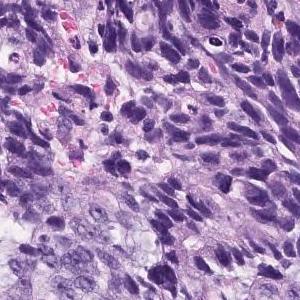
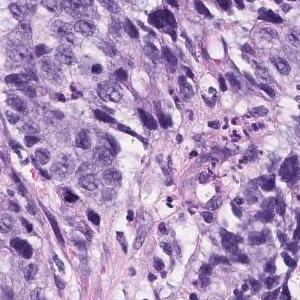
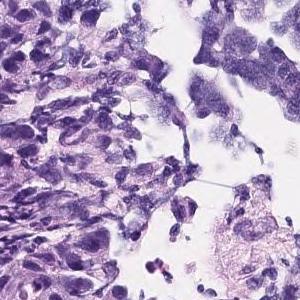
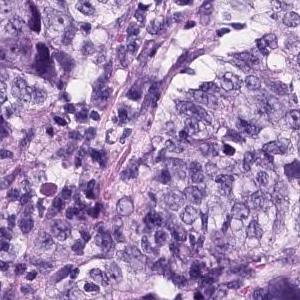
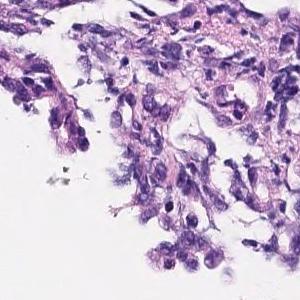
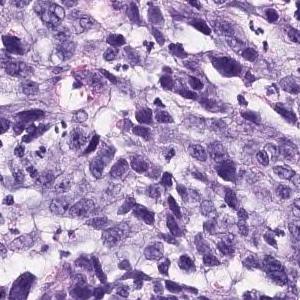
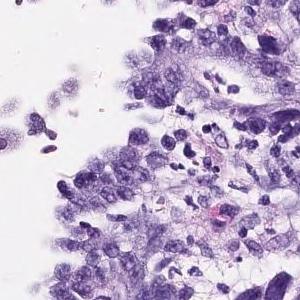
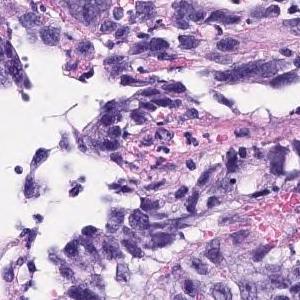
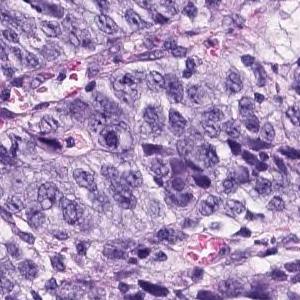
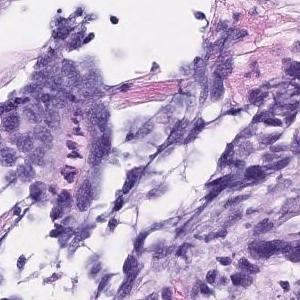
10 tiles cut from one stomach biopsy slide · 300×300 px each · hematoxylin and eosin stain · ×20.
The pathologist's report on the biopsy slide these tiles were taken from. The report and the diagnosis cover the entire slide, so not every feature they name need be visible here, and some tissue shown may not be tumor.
The superficial epithelium shows a large sheet-like shape, and some tumor tissue infiltrates with small irregular ducts. Poorly differentiated adenocarcinoma, solid-type
Histologic type: Poorly differentiated adenocarcinoma, solid type. This name comes from the Japanese Classification of Gastric Carcinoma; the WHO 2019 classification calls it tubular adenocarcinoma, poorly differentiated.
